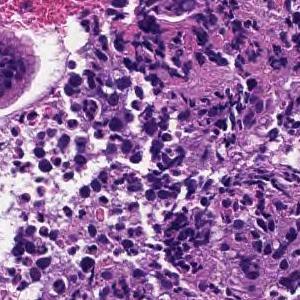
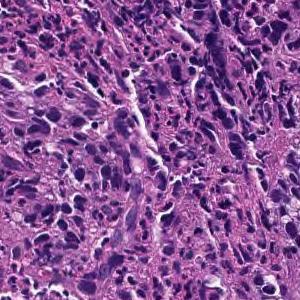
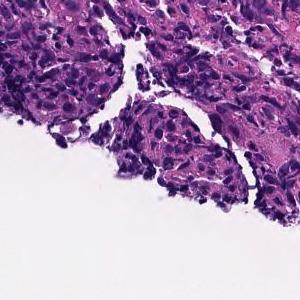
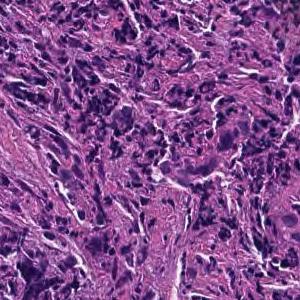
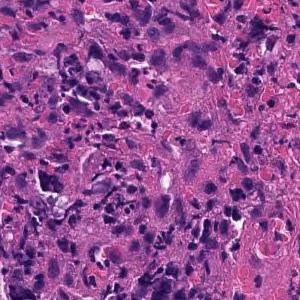
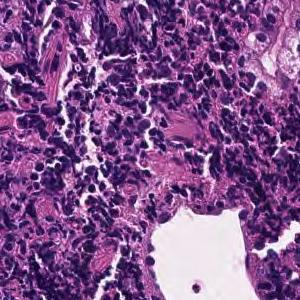
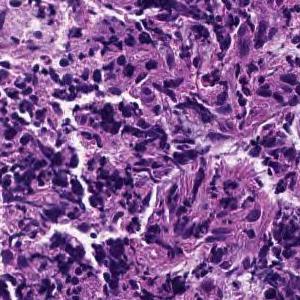
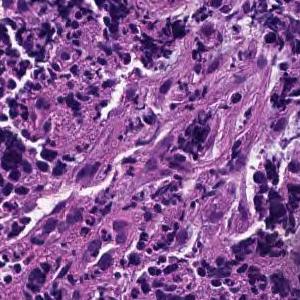
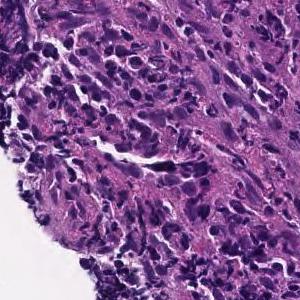
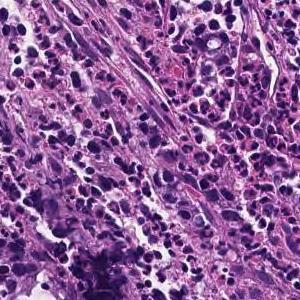
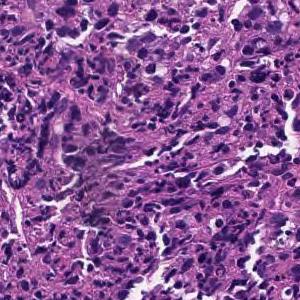
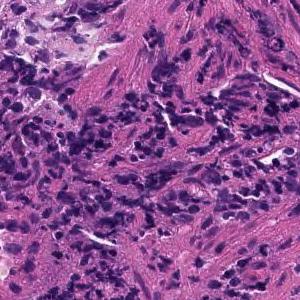
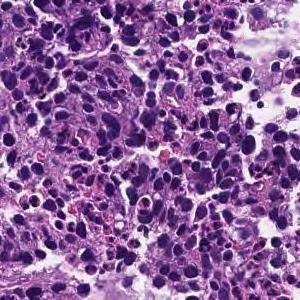
Hematoxylin and eosin stain · 13 image tiles from a single gastric biopsy slide · 300×300 px each.
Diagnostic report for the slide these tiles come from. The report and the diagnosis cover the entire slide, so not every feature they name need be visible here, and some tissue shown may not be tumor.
Tumor tissue consisting of cord-like or small, irregular glandular ducts fused and infiltrated is observed in the superficial epithelium. Poorly differentiated adenocarcinoma, non-solid type
The term "non-solid type" comes from the Japanese Classification of Gastric Carcinoma.
